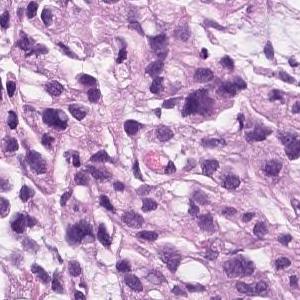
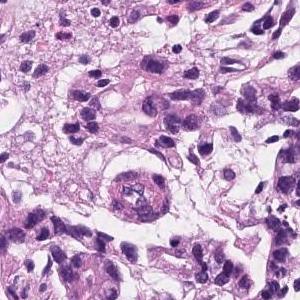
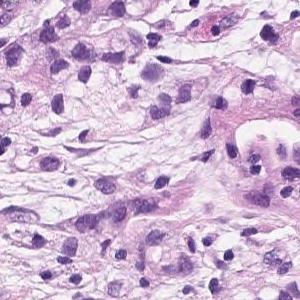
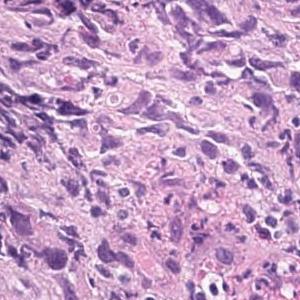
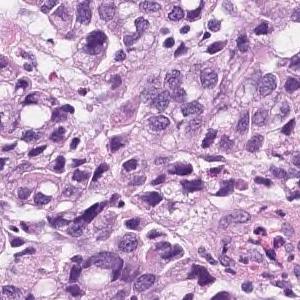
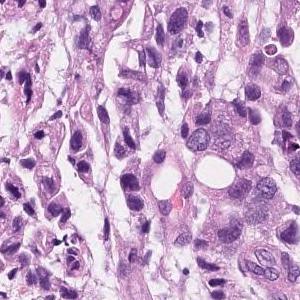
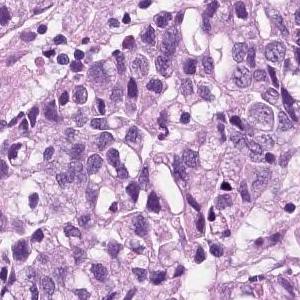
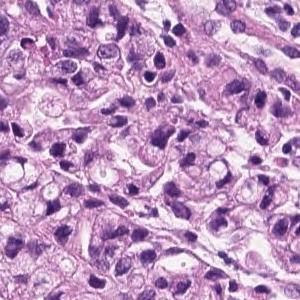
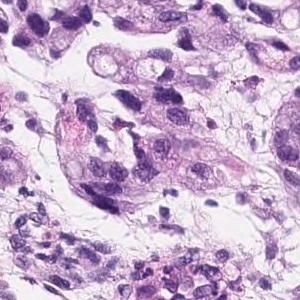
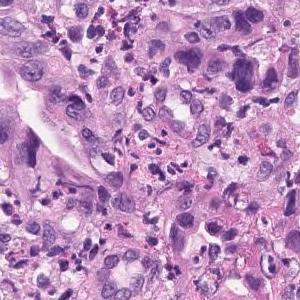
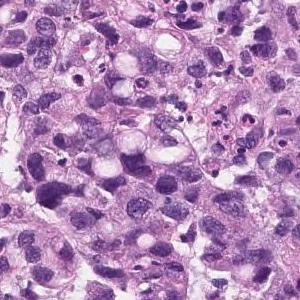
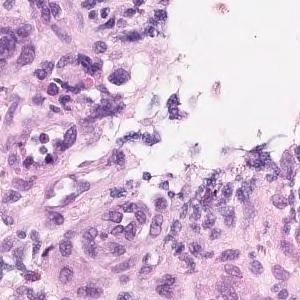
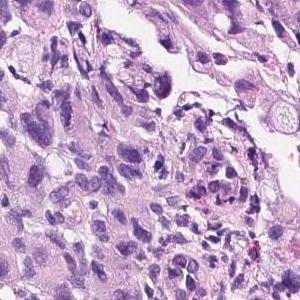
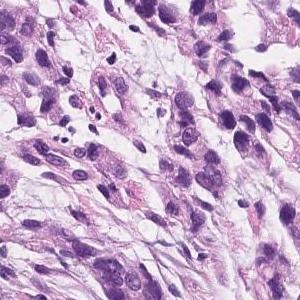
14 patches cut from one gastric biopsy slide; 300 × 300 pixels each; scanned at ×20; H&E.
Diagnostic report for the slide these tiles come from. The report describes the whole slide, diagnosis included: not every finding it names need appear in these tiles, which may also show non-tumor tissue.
Group 5, Adenocarcinoma. Poorly differentiated adenocarcinoma, non-solid type
"Non-solid type" is a category of the Japanese Classification of Gastric Carcinoma.
